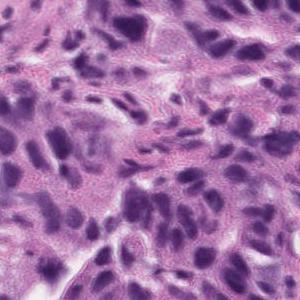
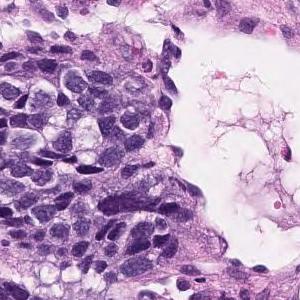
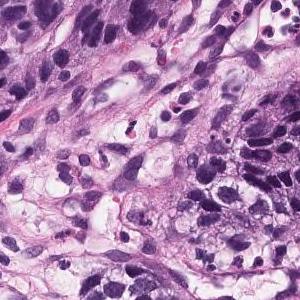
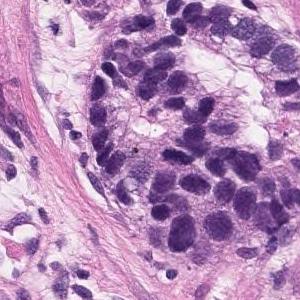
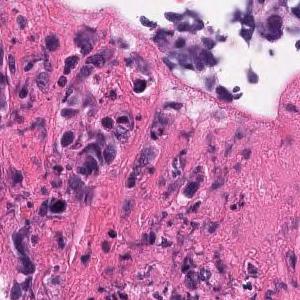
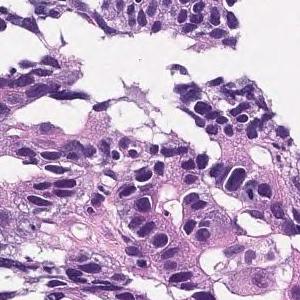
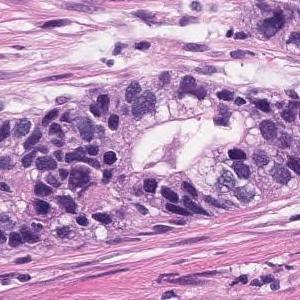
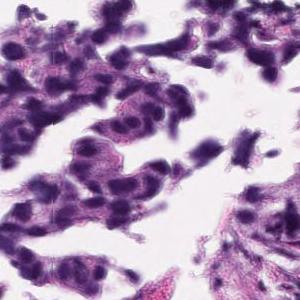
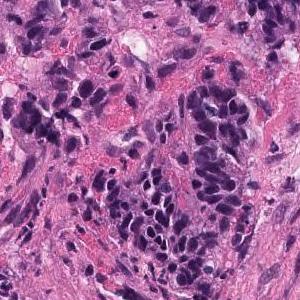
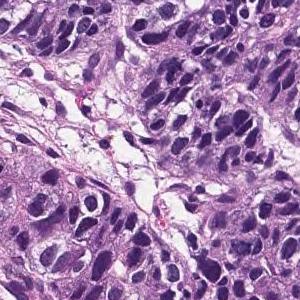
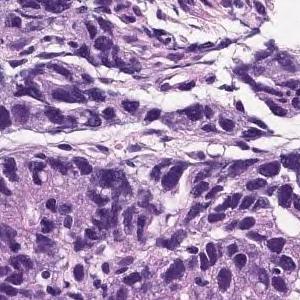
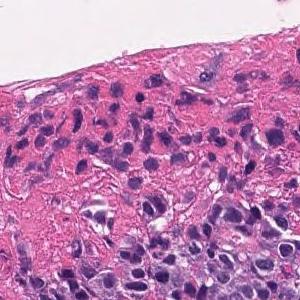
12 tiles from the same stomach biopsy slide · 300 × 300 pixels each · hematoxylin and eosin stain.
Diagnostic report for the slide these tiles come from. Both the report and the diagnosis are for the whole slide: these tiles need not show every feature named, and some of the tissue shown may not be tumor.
Medium to small, irregular glandular ducts are formed in the superficial epithelium, and in some cases, the glandular ducts are fused to show solid alveolar lesions and infiltrating tumor tissue is observed. Moderately to poorly differentiated adenocarcinoma.
